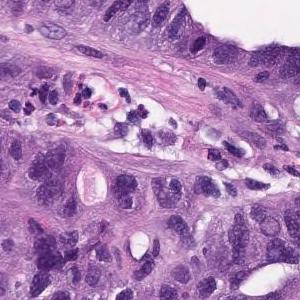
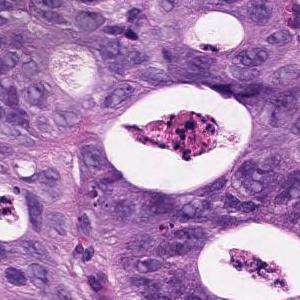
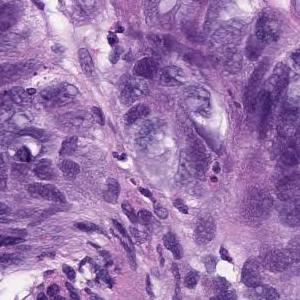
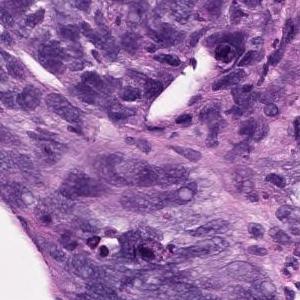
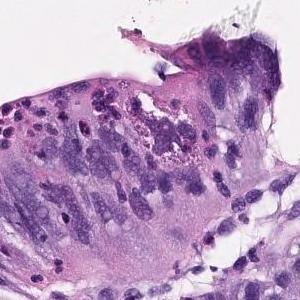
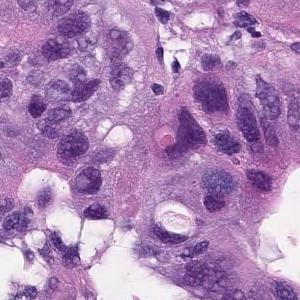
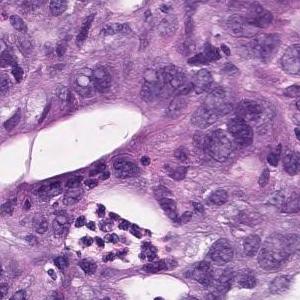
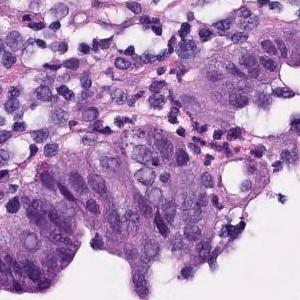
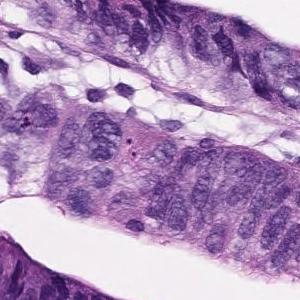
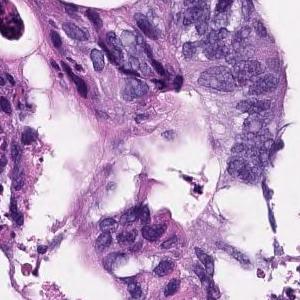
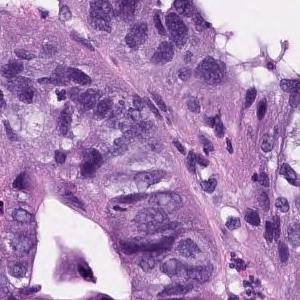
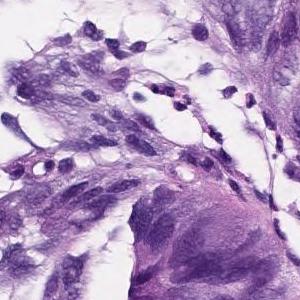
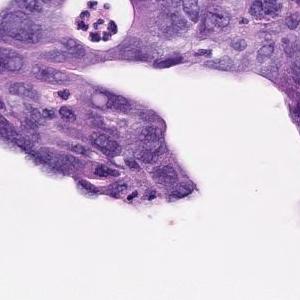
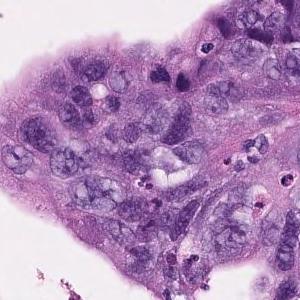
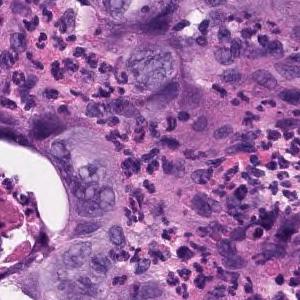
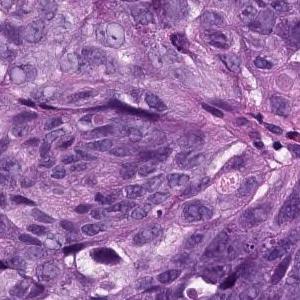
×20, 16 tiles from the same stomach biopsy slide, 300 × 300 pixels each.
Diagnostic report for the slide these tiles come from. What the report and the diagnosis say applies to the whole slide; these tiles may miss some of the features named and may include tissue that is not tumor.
In the superficial epithelium, tumor tissue that invades by forming medium-sized to small, irregular ducts is observed. Moderately differentiated adenocarcinoma.
Classified as moderately differentiated tubular adenocarcinoma.
